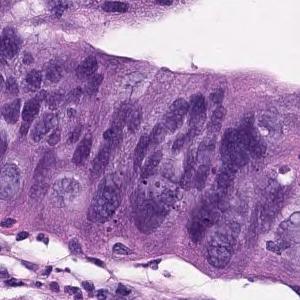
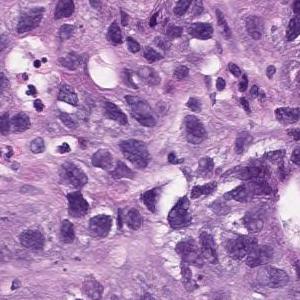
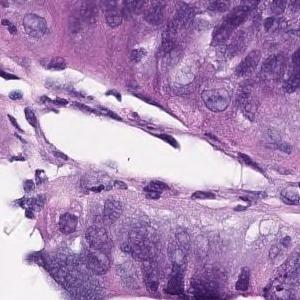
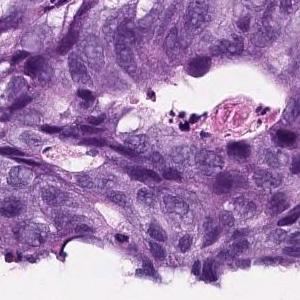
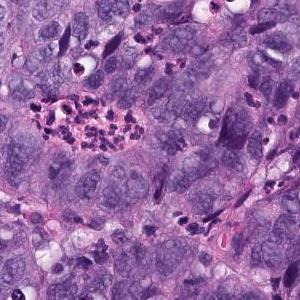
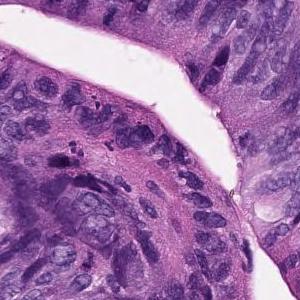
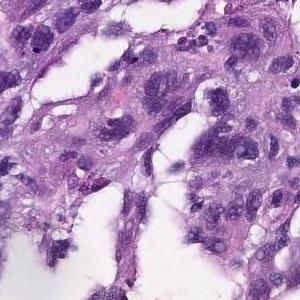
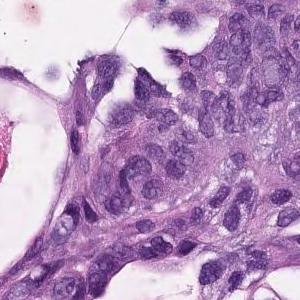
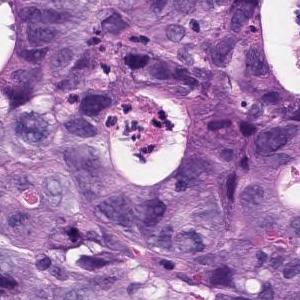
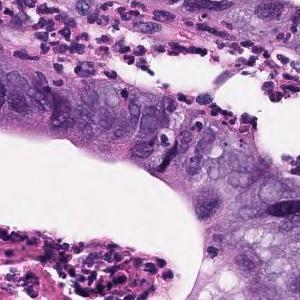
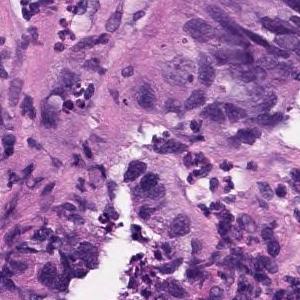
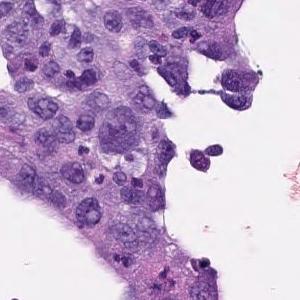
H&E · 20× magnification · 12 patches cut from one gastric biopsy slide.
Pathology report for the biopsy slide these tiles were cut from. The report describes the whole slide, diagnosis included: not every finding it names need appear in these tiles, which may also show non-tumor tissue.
In the superficial epithelium, tumor tissue that invades by forming medium-sized to small, irregular ducts is observed. Moderately differentiated adenocarcinoma.
Histological subtype: Moderately differentiated tubular adenocarcinoma.
